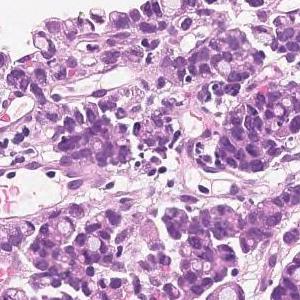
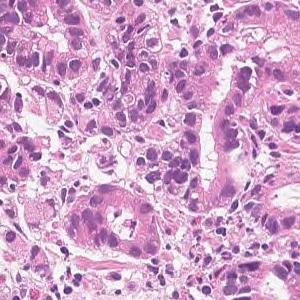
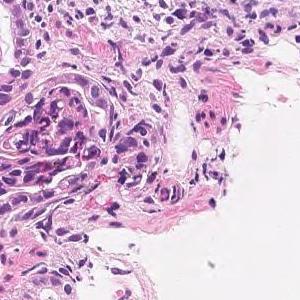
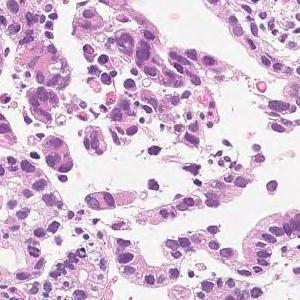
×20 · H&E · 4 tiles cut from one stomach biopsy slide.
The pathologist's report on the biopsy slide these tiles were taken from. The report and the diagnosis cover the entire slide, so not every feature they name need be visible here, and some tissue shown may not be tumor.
Medium to small, irregular glandular ducts are formed in the superficial epithelium, and in some cases, the glandular ducts are fused to show solid alveolar lesions and infiltrating tumor tissue is observed. Moderately to poorly differentiated adenocarcinoma.
